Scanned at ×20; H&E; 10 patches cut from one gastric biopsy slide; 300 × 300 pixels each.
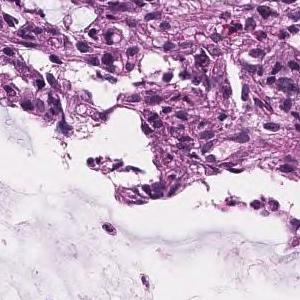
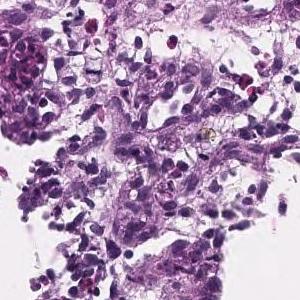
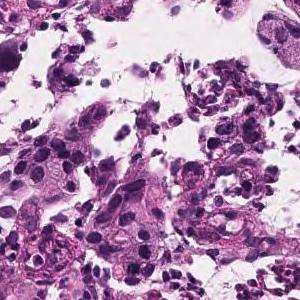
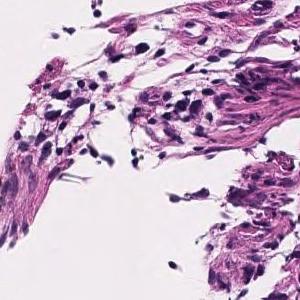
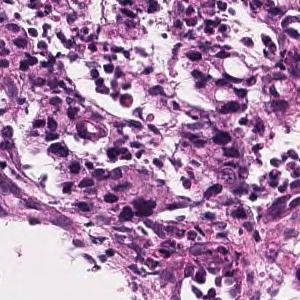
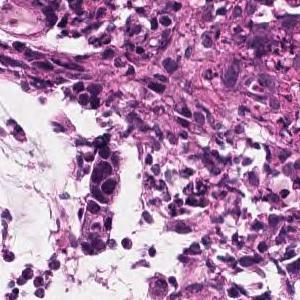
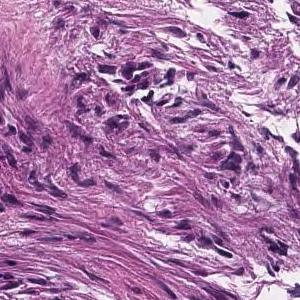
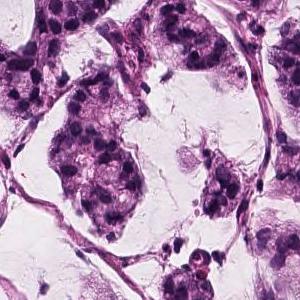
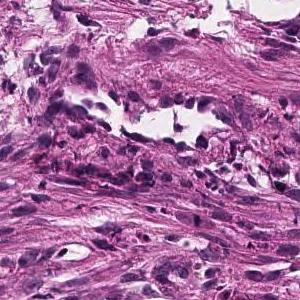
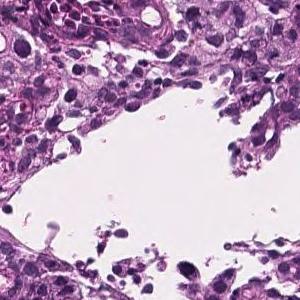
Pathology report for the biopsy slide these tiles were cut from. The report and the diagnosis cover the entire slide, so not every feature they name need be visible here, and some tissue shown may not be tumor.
Atypical epithelial cells form obscure ductal structures or small solid follicles, and tumor tissue that proliferates invasively with proliferation of inflammatory granulation tissue is observed. Mucinous adenocarcinoma .
